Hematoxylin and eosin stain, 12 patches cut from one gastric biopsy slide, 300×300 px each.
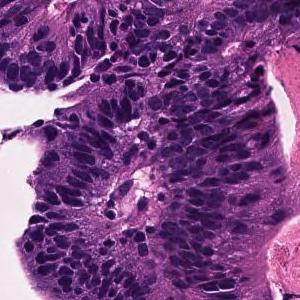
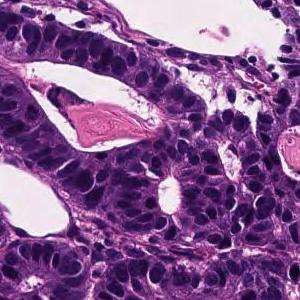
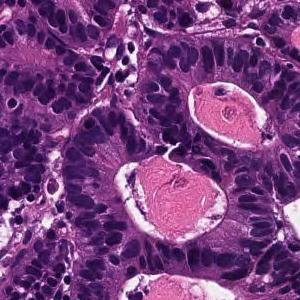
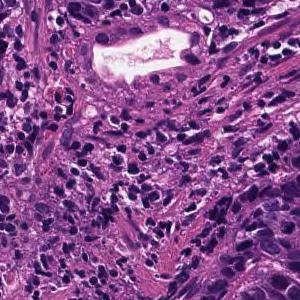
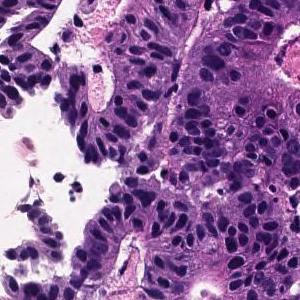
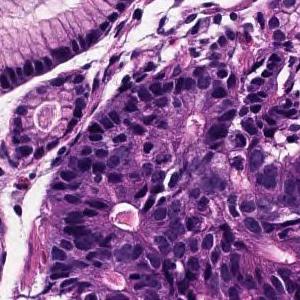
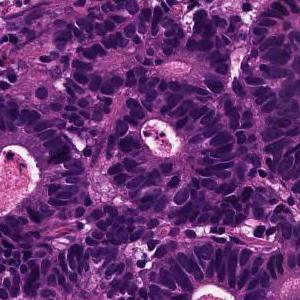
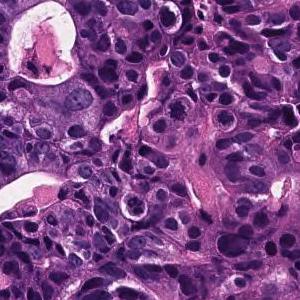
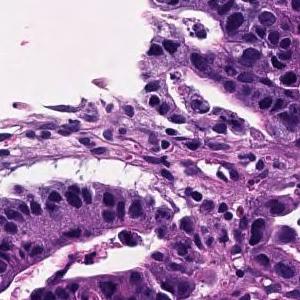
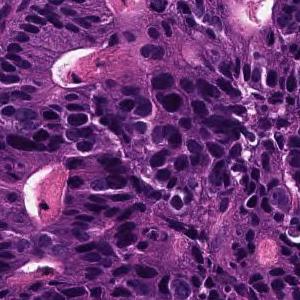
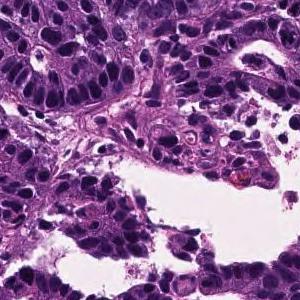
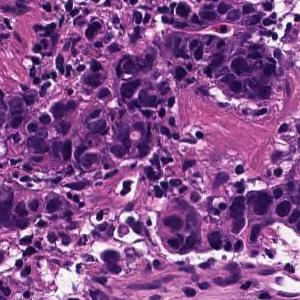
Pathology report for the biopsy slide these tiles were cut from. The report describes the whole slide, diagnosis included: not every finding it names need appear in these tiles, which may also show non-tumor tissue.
In the superficial epithelium, tumor tissue that invades by forming medium-sized to small, irregular ducts is observed. moderately differentiated tubular adenocarcinoma.
